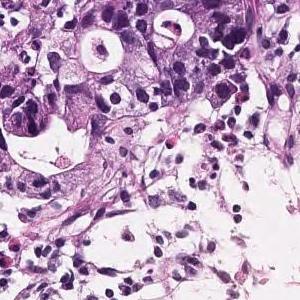
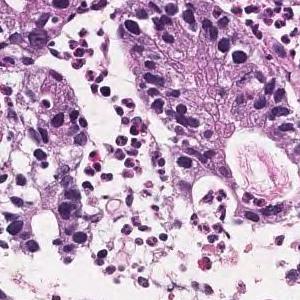
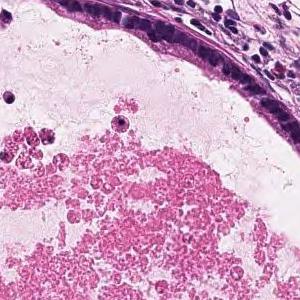
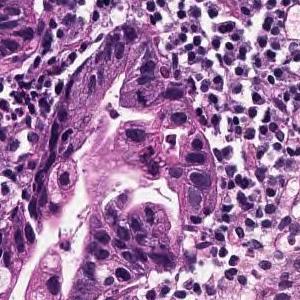
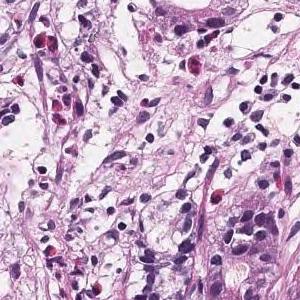
Scanned at ×20; H&E stain; 5 tiles from the same stomach biopsy slide; 300×300 px each.
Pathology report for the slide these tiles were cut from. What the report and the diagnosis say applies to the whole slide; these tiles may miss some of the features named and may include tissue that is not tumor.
Tumor tissue consisting of medium-sized and irregular ducts is observed infiltrating in the superficial epithelium. Tumor cells are highly columnar, with nuclei aligned basolaterally and polarized. Well differentiated tubular adenocarcinoma.
